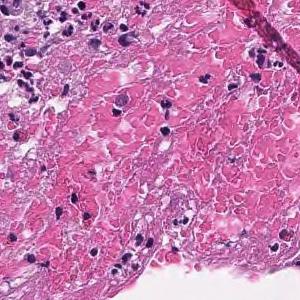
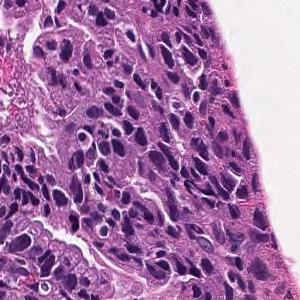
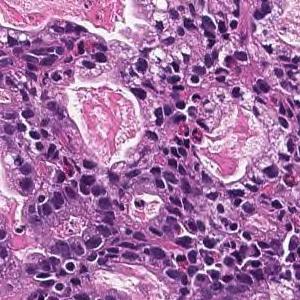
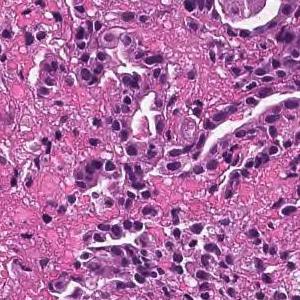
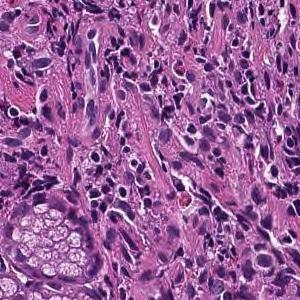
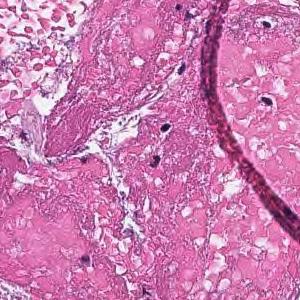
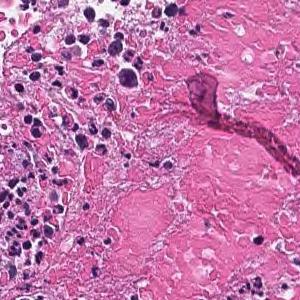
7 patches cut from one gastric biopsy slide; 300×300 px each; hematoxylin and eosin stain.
Pathology report for the slide these tiles were cut from. What the report and the diagnosis say applies to the whole slide; these tiles may miss some of the features named and may include tissue that is not tumor.
On the superficial epithelium, tumor tissue that infiltrates by forming medium-sized papillary or small irregular ducts is observed. Papillary adenocarcinoma
